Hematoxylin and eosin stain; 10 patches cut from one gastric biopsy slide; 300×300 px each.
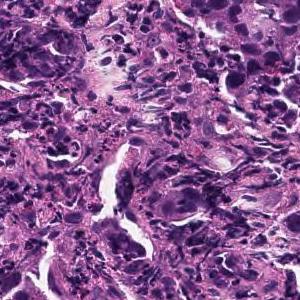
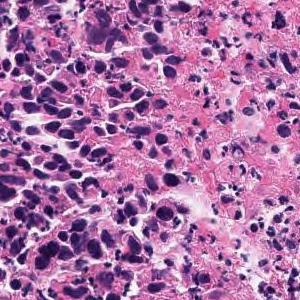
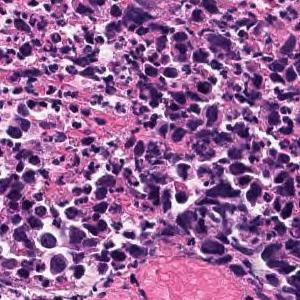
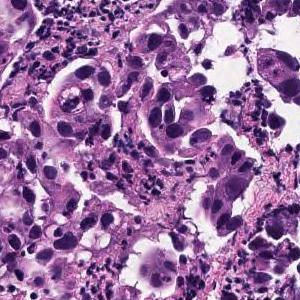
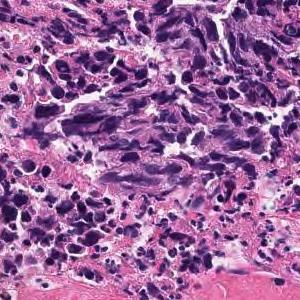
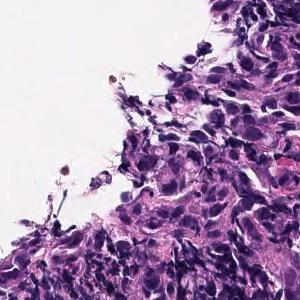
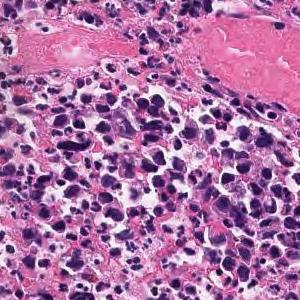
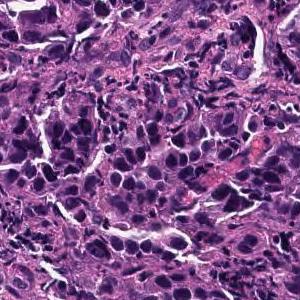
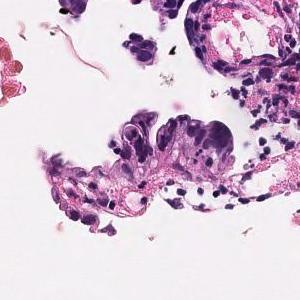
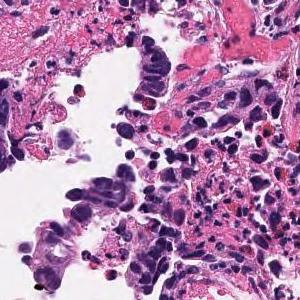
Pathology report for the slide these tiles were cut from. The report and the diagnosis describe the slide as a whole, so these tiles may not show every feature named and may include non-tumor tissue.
In the superficial epithelium, tumor tissue that invades by forming medium-sized to small, irregular ducts is observed. Tumor cells are columnar or cuboidal in shape. Moderately differentiated adenocarcinoma.
Subtype: Moderately differentiated tubular adenocarcinoma.
